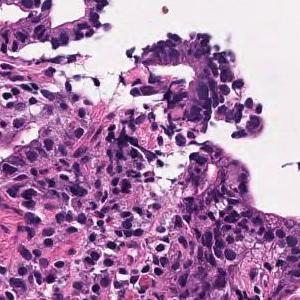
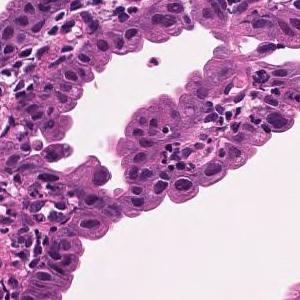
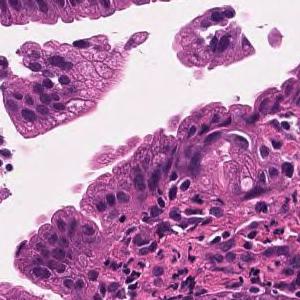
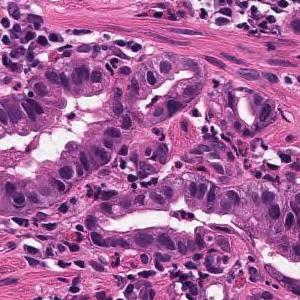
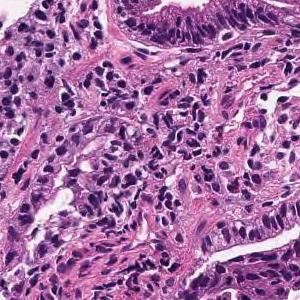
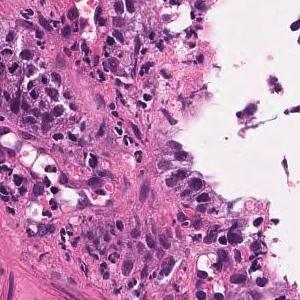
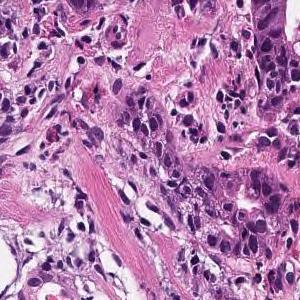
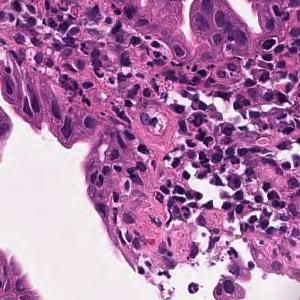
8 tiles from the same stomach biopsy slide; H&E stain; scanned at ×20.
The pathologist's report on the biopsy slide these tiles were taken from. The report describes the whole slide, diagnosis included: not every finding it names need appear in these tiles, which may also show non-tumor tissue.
Tumor tissue in which medium to small irregular ducts infiltrate and proliferate in the submucosa can be seen in the epithelium. Well differentiated tubular adenocarcinoma
